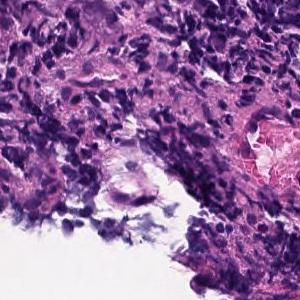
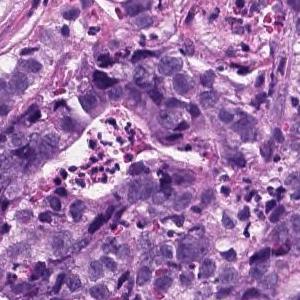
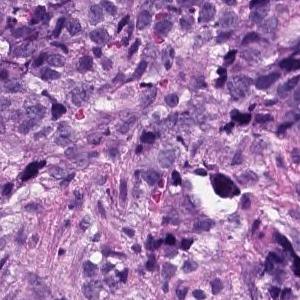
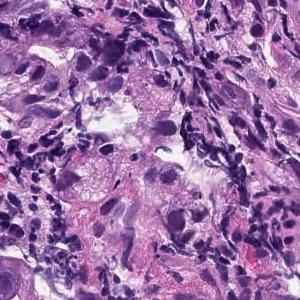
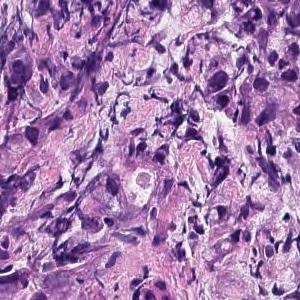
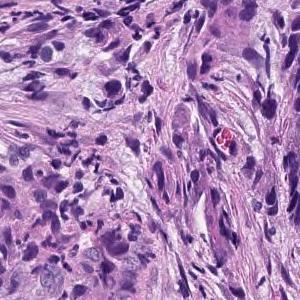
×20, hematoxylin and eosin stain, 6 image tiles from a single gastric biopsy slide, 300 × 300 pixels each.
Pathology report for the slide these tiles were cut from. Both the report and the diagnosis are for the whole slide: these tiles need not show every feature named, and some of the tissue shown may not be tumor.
Medium to small, irregular glandular ducts are formed in the superficial epithelium, and in some cases, the glandular ducts are fused to show solid alveolar lesions and infiltrating tumor tissue is observed. Moderately to poorly differentiated adenocarcinoma.
